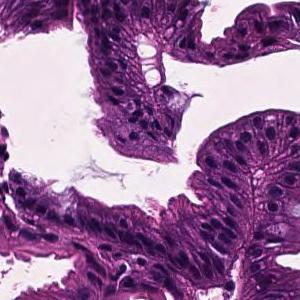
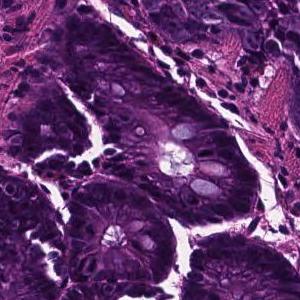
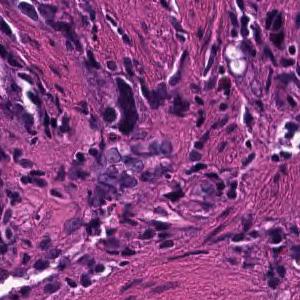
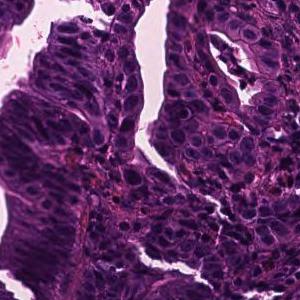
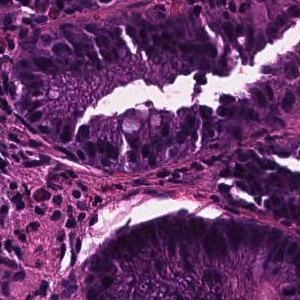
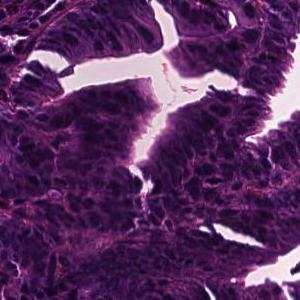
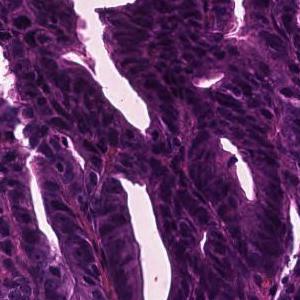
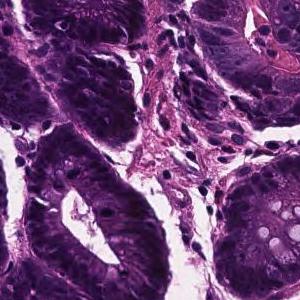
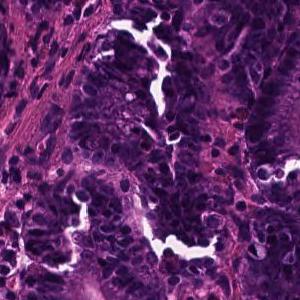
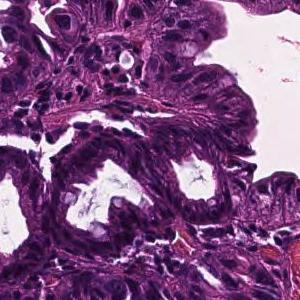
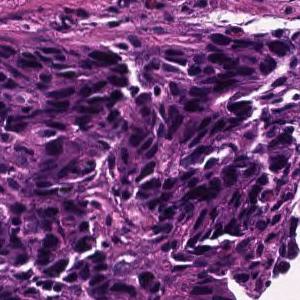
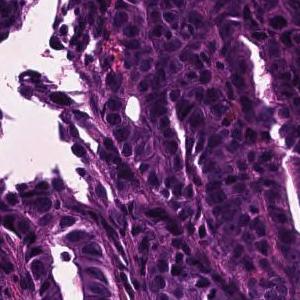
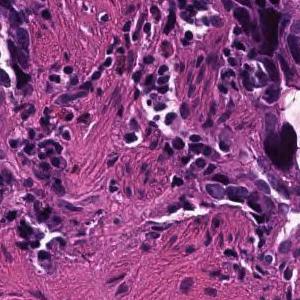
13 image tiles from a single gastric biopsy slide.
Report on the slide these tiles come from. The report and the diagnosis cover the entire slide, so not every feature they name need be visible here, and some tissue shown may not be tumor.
In the superficial epithelium, tumor tissue that invades by forming medium-sized to small, irregular ducts is observed. moderately differentiated tubular adenocarcinoma.
